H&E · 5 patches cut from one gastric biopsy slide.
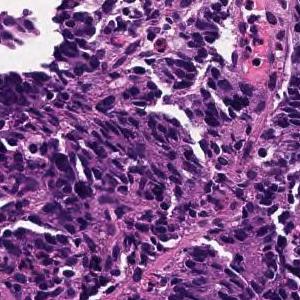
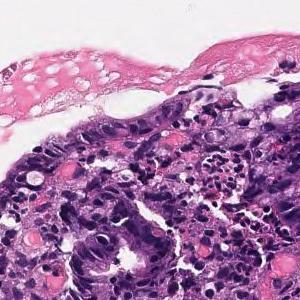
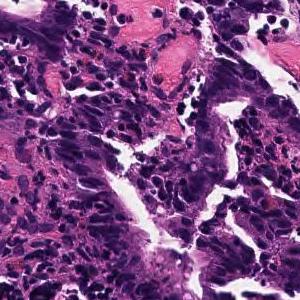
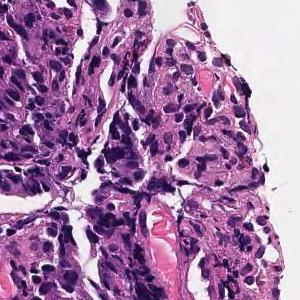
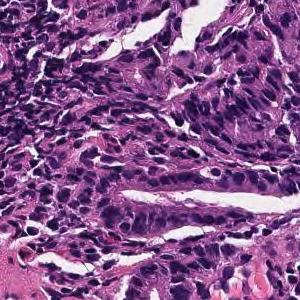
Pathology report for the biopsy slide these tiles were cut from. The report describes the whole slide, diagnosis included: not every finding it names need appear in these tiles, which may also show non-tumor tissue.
In the superficial epithelium, tumor tissue that invades by forming medium-sized to small, irregular ducts is observed. moderately differentiated tubular adenocarcinoma.
